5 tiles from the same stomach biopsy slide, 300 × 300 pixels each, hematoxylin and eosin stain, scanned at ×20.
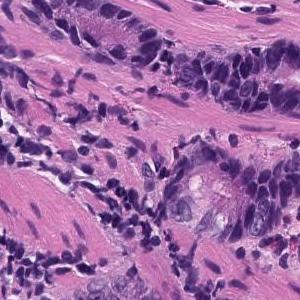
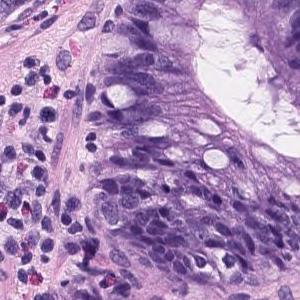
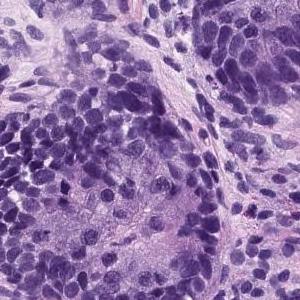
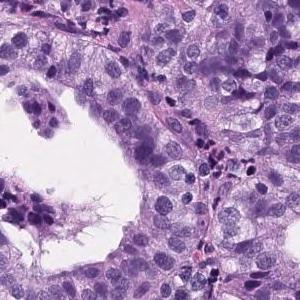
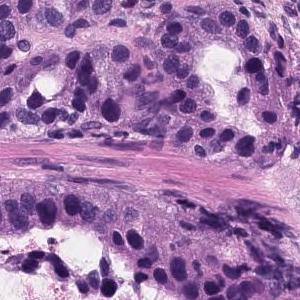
Pathology report for the biopsy slide these tiles were cut from. The findings and the diagnosis refer to the entire slide; these tiles show only part of it, possibly with non-tumor tissue, and may not show every feature named.
Tumor tissue consisting of medium-sized and irregular ducts is observed infiltrating in the superficial epithelium. Tumor cells are highly columnar, with nuclei aligned basolaterally and polarized. Well differentiated tubular adenocarcinoma.
